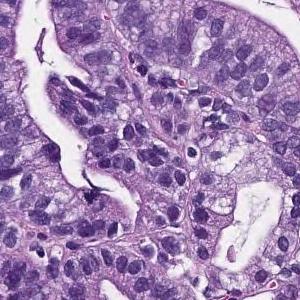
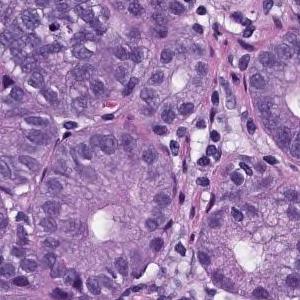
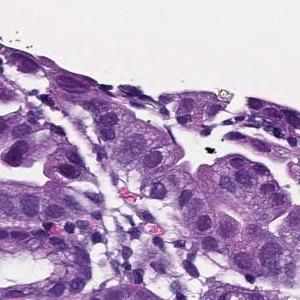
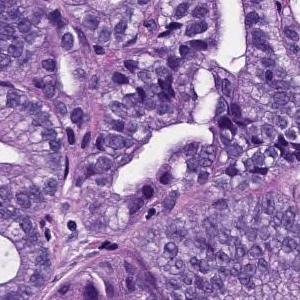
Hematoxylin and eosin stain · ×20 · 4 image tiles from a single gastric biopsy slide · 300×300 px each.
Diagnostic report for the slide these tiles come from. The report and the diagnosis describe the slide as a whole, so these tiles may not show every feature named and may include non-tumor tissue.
On the superficial epithelium, tumor tissue that infiltrates by forming medium-sized papillary or small irregular ducts is observed. Papillary adenocarcinoma
